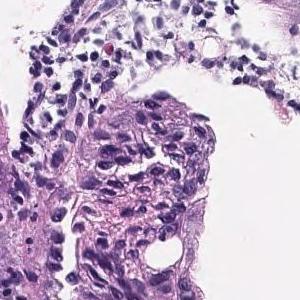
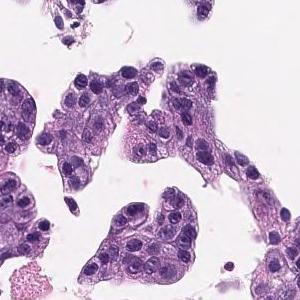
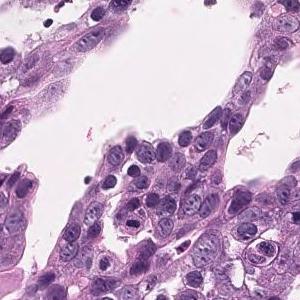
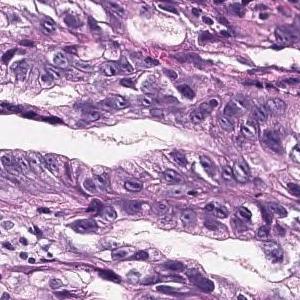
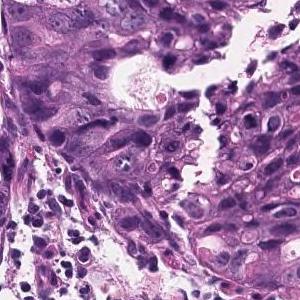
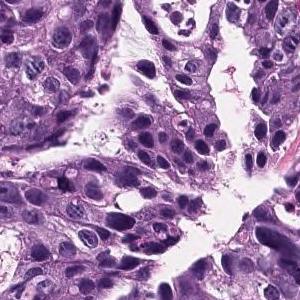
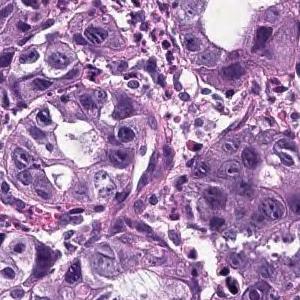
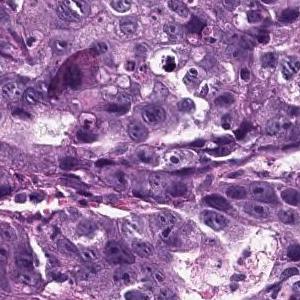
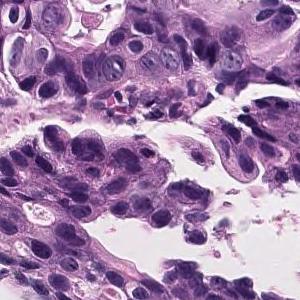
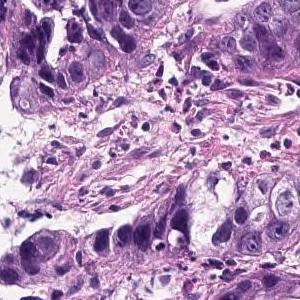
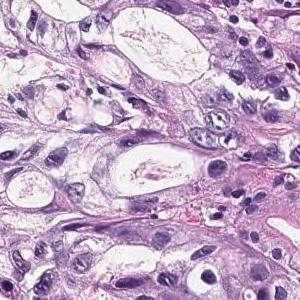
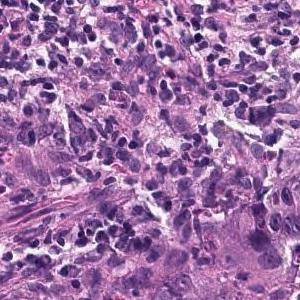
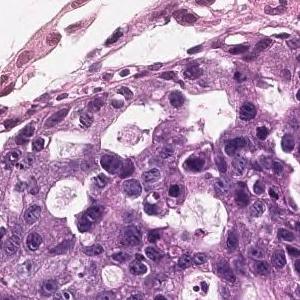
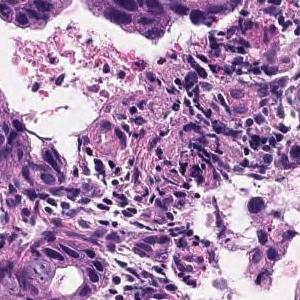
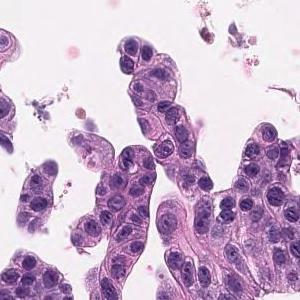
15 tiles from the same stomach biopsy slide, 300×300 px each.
Diagnostic report for the slide these tiles come from. The report and the diagnosis describe the slide as a whole, so these tiles may not show every feature named and may include non-tumor tissue.
Tumor cells are large, highly columnar, large club-shaped nuclei, and are associated with chromatin aggregation. Papillary adenocarcinoma.
